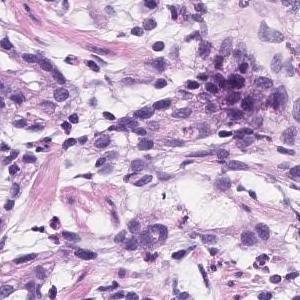
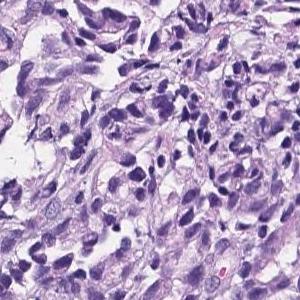
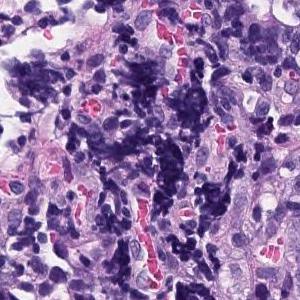
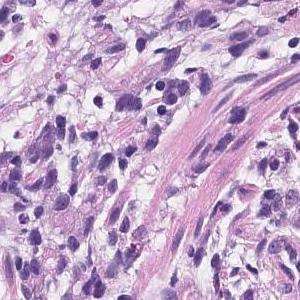
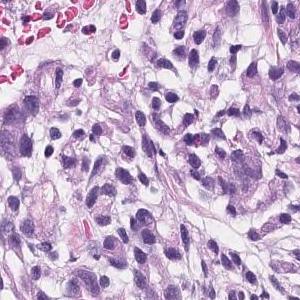
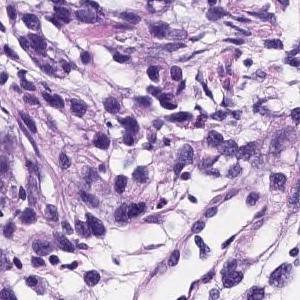
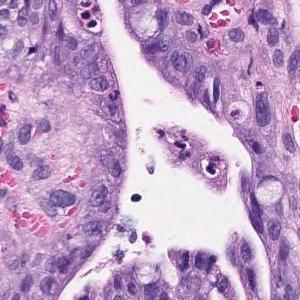
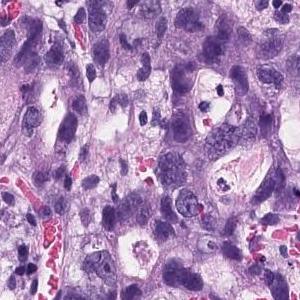
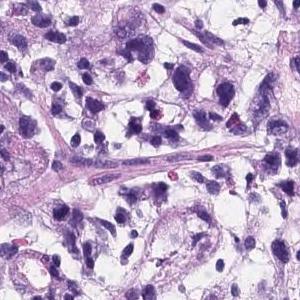
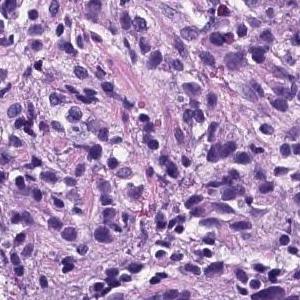
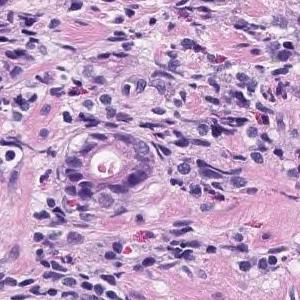
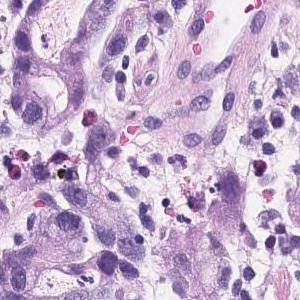
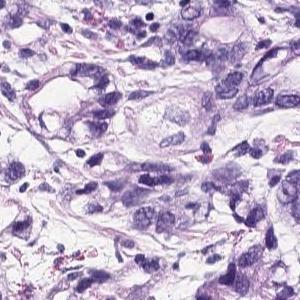
13 image tiles from a single gastric biopsy slide.
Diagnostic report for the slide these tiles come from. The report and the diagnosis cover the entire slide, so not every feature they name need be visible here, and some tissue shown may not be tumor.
There are atypical l cells with atypical nuclei forming cord-like or irregular atypical ducts from solidity and proliferating in a comprehensive manner. Poorly differentiated adenocarcinoma, Moderately differentiated adenocarcinoma (poorly differentiated adenocarcinoma, solid type moderately differentiated tubular adenocarcinoma)
Tumor subtype: moderately to poorly differentiated adenocarcinoma.
The term "solid type" comes from the Japanese Classification of Gastric Carcinoma; the WHO 2019 equivalent is tubular adenocarcinoma, poorly differentiated.
